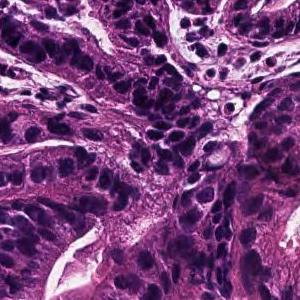
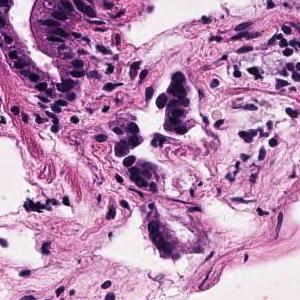
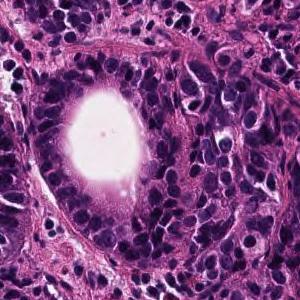
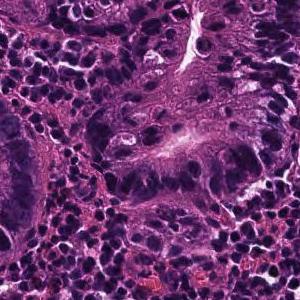
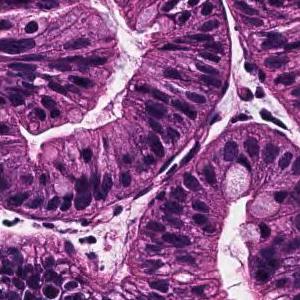
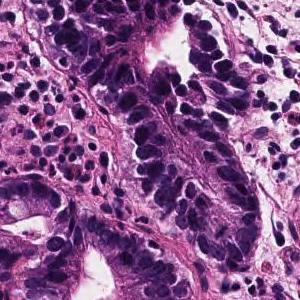
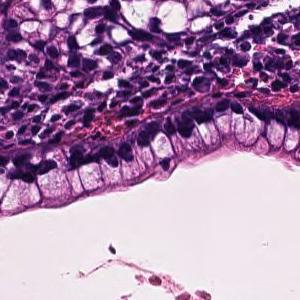
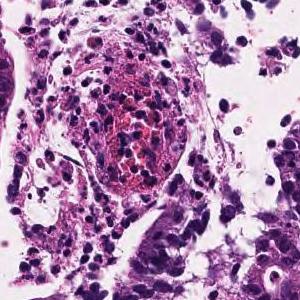
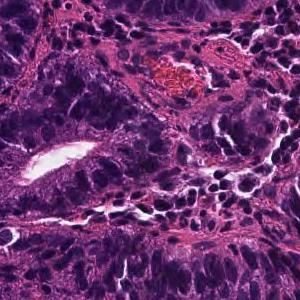
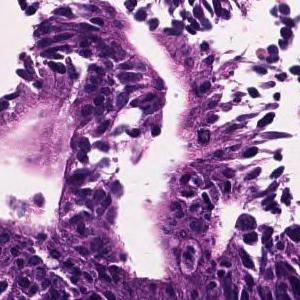
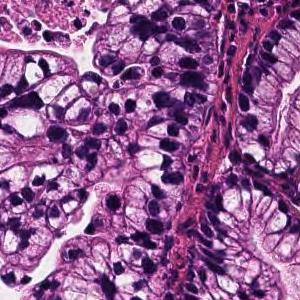
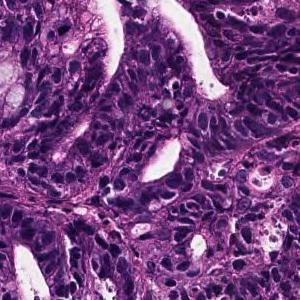
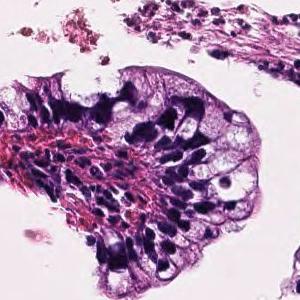
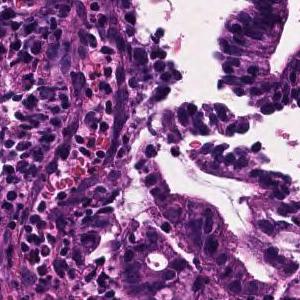
H&E · ×20 · 14 patches cut from one gastric biopsy slide.
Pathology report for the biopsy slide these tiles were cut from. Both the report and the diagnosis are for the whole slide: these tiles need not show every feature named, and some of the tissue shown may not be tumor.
Tumor cells are large, highly columnar, large club-shaped nuclei, and are associated with chromatin aggregation. Papillary adenocarcinoma.
